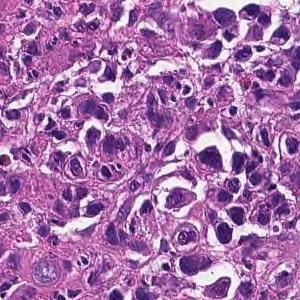
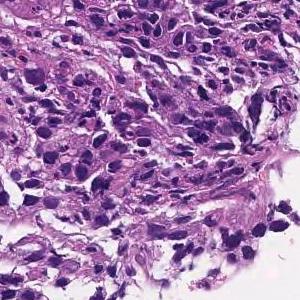
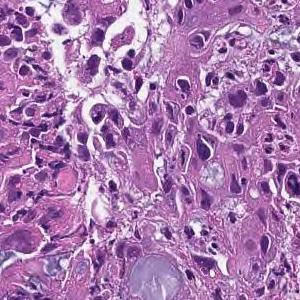
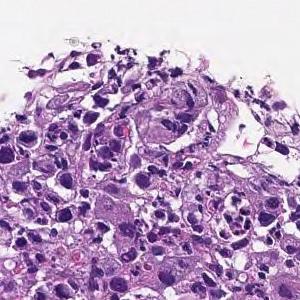
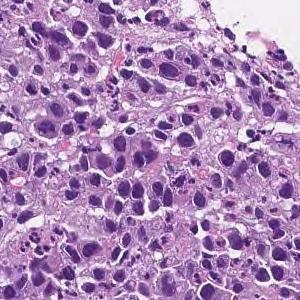
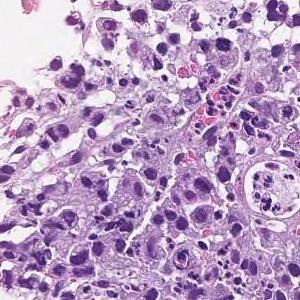
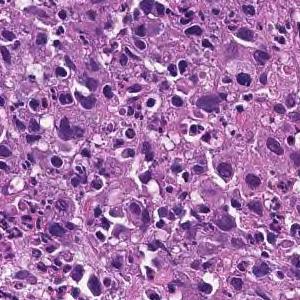
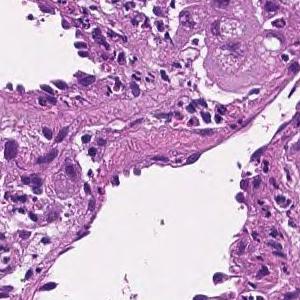
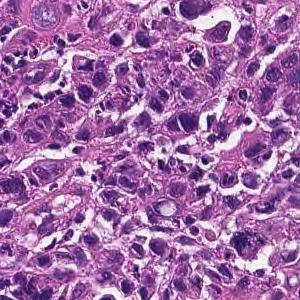
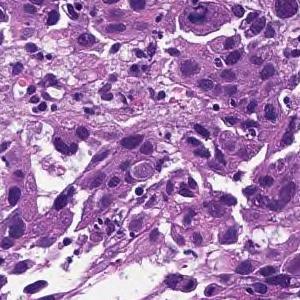
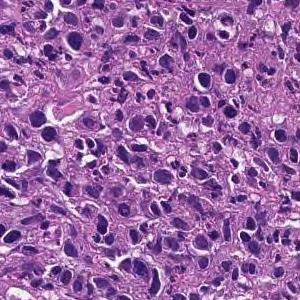
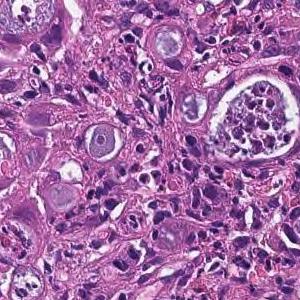
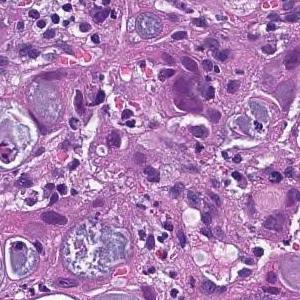
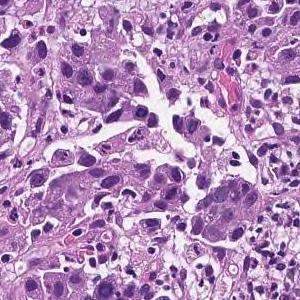
Scanned at ×20 · H&E stain · 14 patches cut from one gastric biopsy slide · 300 × 300 pixels each.
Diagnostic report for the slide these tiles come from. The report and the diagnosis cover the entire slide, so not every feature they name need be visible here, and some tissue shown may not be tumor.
The superficial epithelium shows a large sheet-like shape, and some tumor tissue infiltrates with small irregular ducts. Poorly differentiated adenocarcinoma, solid-type
Histologic type: Poorly differentiated adenocarcinoma, solid type (Japanese Classification of Gastric Carcinoma). The WHO 2019 equivalent is tubular adenocarcinoma, poorly differentiated.
